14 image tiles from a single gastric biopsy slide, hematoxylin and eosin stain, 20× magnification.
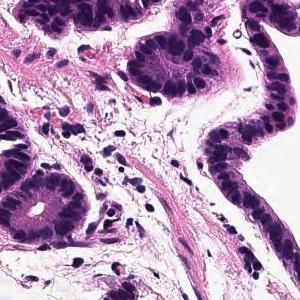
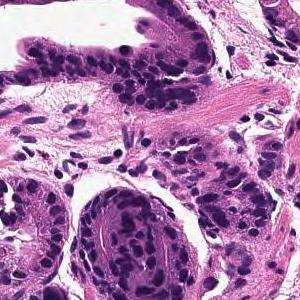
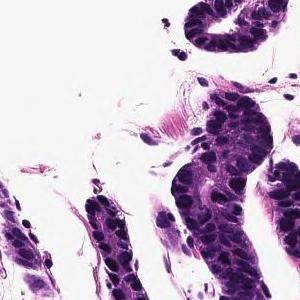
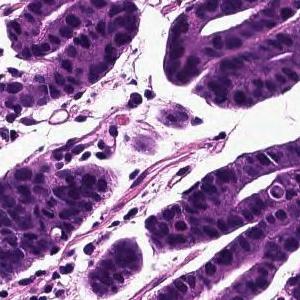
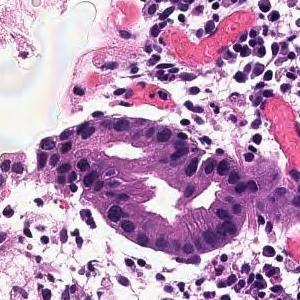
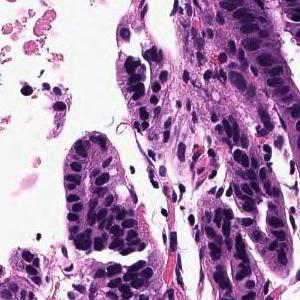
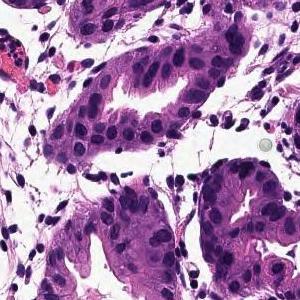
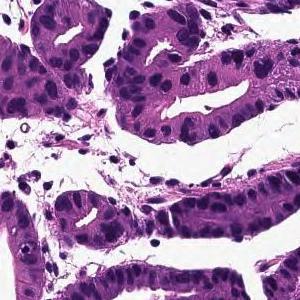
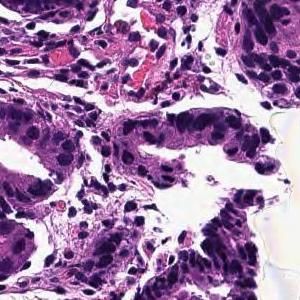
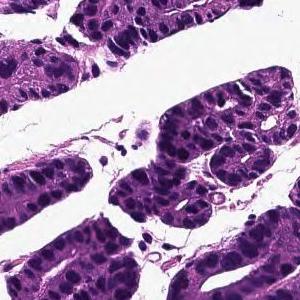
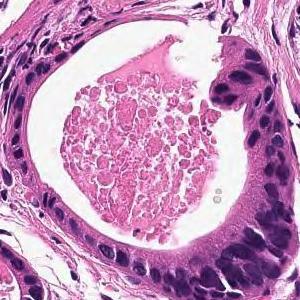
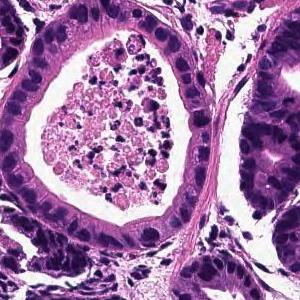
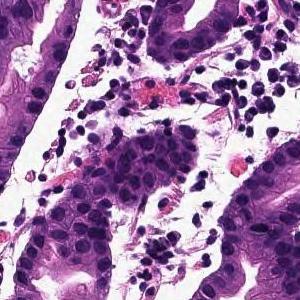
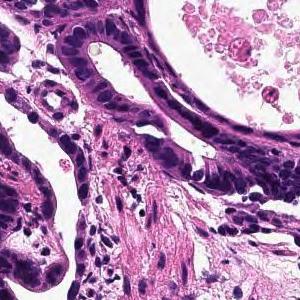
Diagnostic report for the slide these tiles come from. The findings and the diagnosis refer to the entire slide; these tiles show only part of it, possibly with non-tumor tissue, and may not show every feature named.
From the superficial epithelium to the muscularis mucosae, tumor tissue consisting of medium-sized and irregular glandular ducts infiltrating is observed. Well differentiated tubular adenocarcinoma
